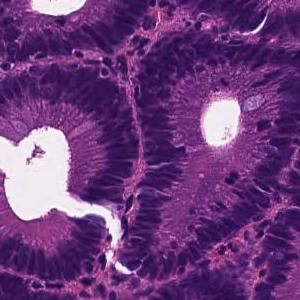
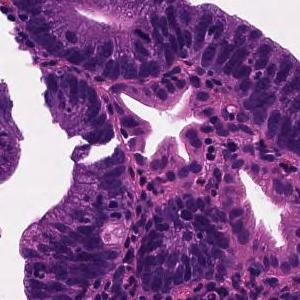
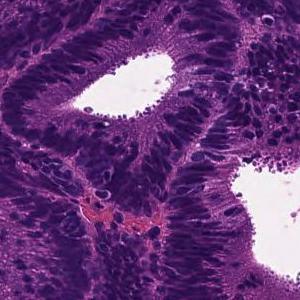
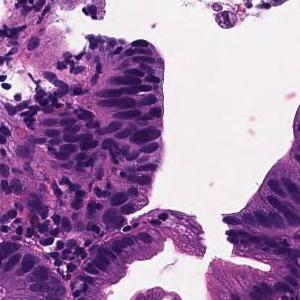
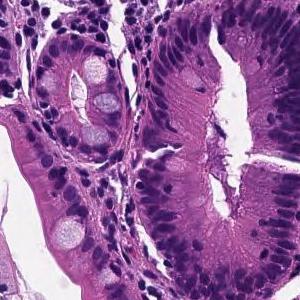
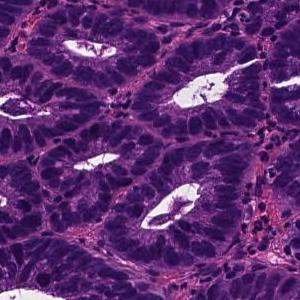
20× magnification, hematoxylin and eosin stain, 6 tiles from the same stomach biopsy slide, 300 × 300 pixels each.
Pathology report for the slide these tiles were cut from. The findings and the diagnosis refer to the entire slide; these tiles show only part of it, possibly with non-tumor tissue, and may not show every feature named.
Tumor tissue in which medium to small irregular ducts infiltrate and proliferate in the submucosa can be seen in the epithelium. Well differentiated tubular adenocarcinoma
